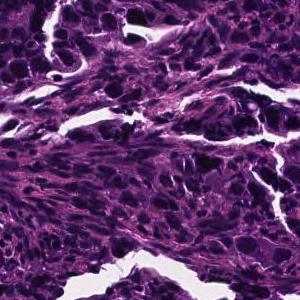
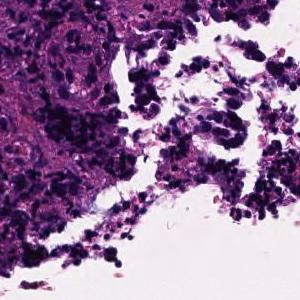
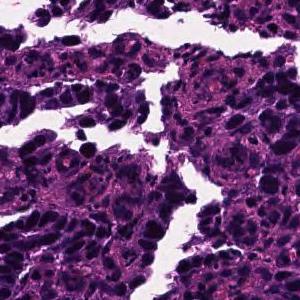
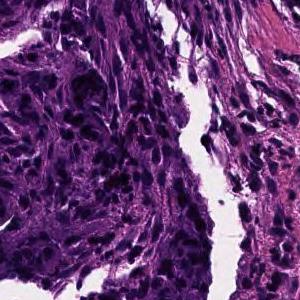
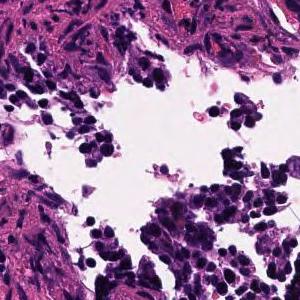
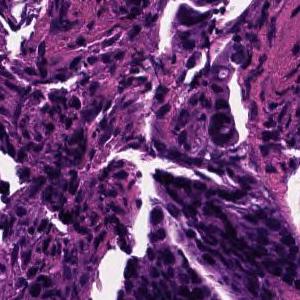
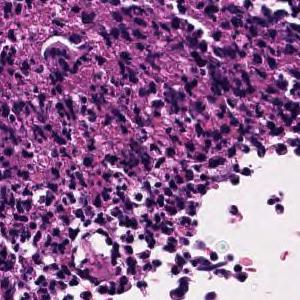
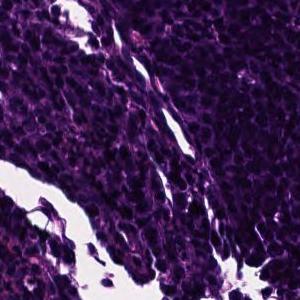
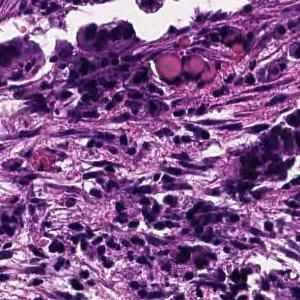
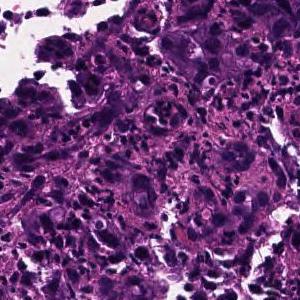
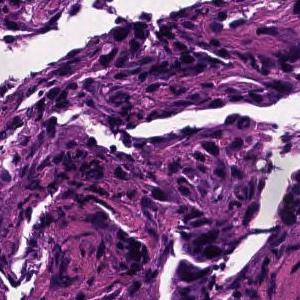
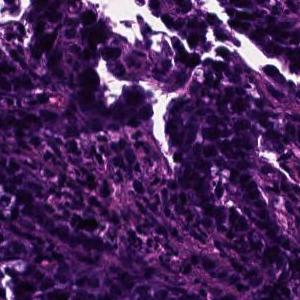
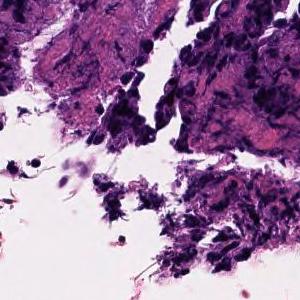
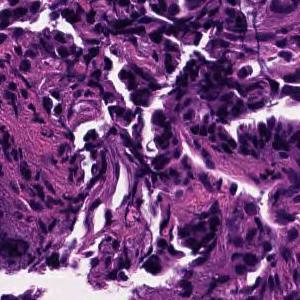
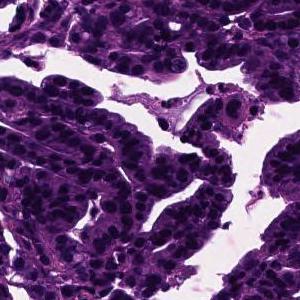
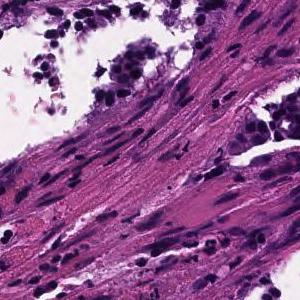
H&E stain, 16 image tiles from a single gastric biopsy slide, 300 × 300 pixels each.
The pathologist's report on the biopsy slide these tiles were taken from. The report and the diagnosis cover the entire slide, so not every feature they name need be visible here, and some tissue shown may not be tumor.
In the superficial epithelium, tumor tissue that invades by forming medium-sized to small, irregular ducts is observed. moderately differentiated tubular adenocarcinoma.
